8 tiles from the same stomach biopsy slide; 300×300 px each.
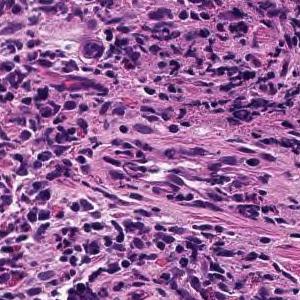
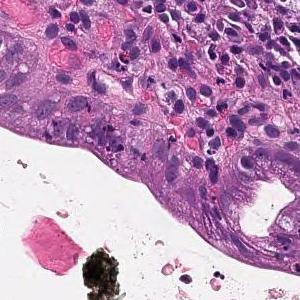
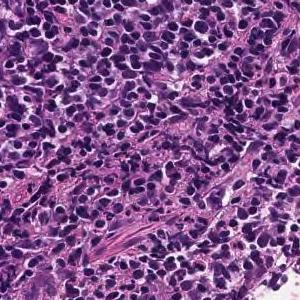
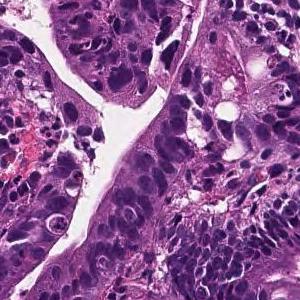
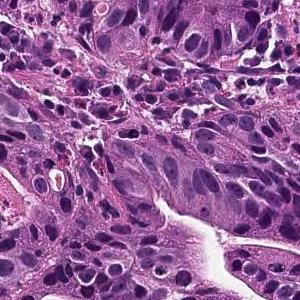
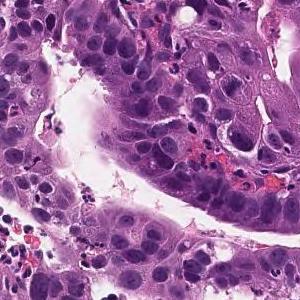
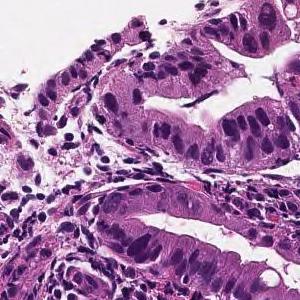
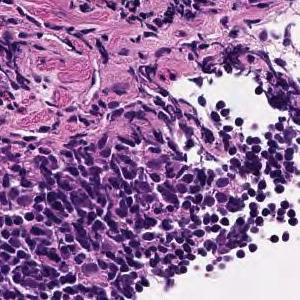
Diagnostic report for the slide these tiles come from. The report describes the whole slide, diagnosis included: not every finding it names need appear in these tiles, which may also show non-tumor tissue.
From the superficial epithelium to the muscularis mucosae, tumor tissue consisting of medium-sized and irregular glandular ducts infiltrating is observed. Well differentiated tubular adenocarcinoma
